13 image tiles from a single gastric biopsy slide · H&E.
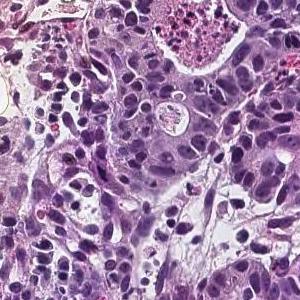
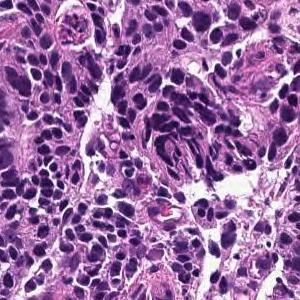
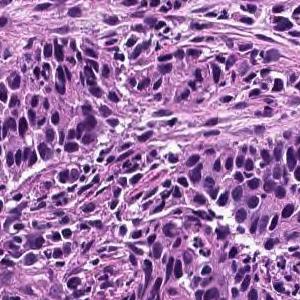
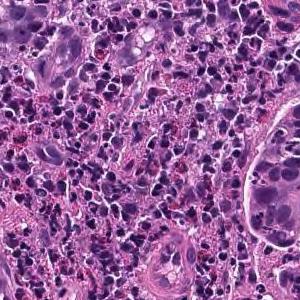
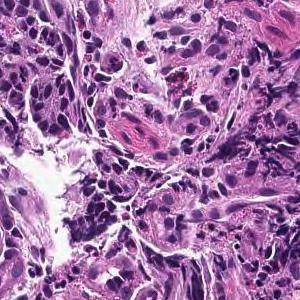
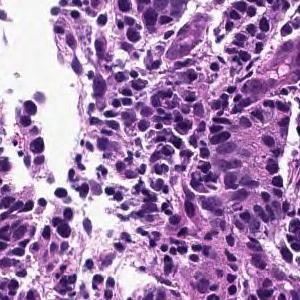
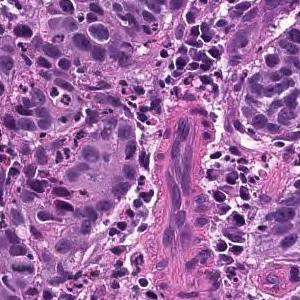
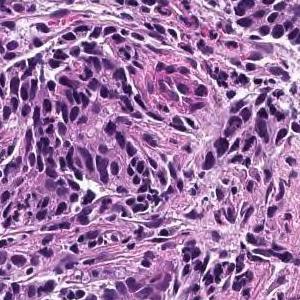
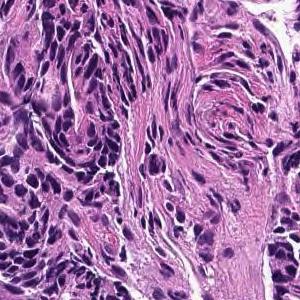
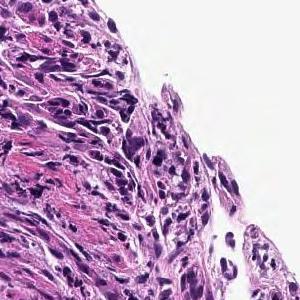
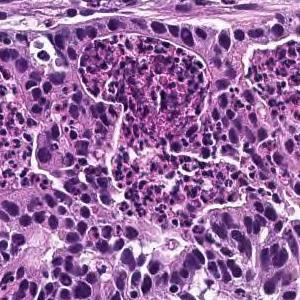
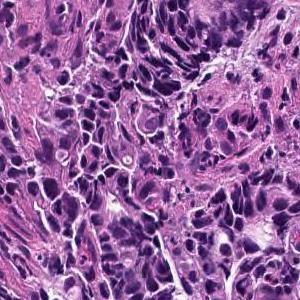
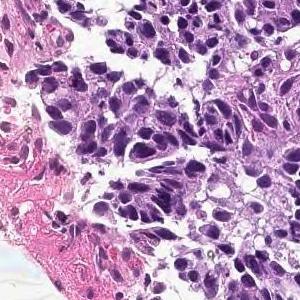
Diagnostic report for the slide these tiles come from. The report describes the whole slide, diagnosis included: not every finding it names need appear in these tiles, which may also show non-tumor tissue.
In the superficial epithelium, tumor tissue that invades by forming medium-sized to small, irregular ducts is observed. moderately differentiated tubular adenocarcinoma.
